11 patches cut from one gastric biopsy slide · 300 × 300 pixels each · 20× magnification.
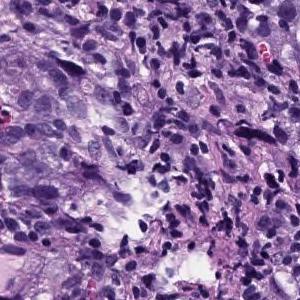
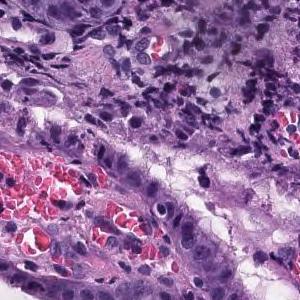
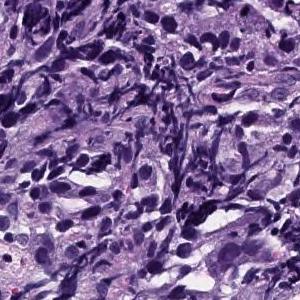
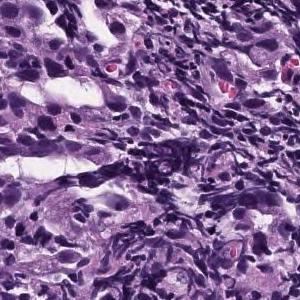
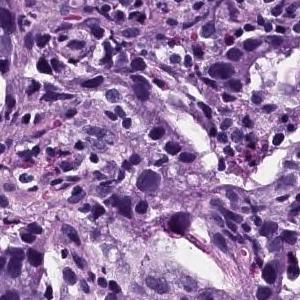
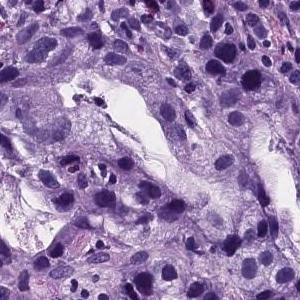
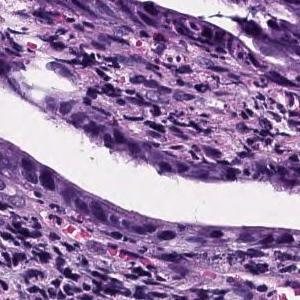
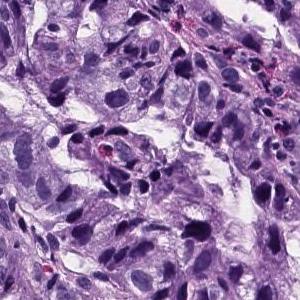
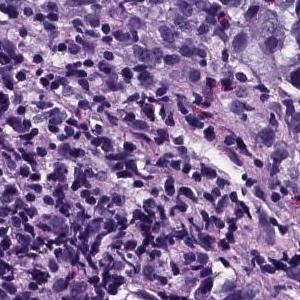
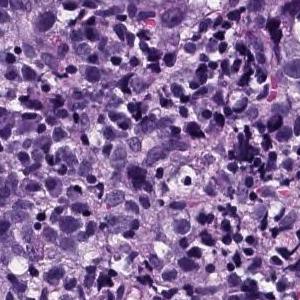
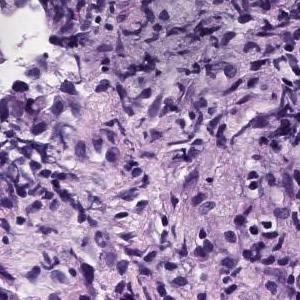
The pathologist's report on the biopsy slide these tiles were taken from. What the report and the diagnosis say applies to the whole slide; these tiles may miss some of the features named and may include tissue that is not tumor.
Atypical epithelial cells infiltrating and proliferating while forming solid or cord-like fused glandular cavities of different sizes is observed. moderately differentiated tubular adenocarcinoma, poorly differentiated adenocarcinoma.
Subtype: Moderately to poorly differentiated adenocarcinoma.
